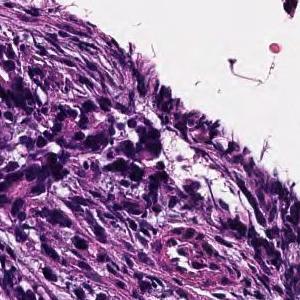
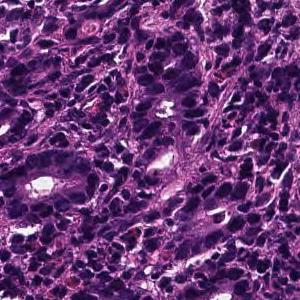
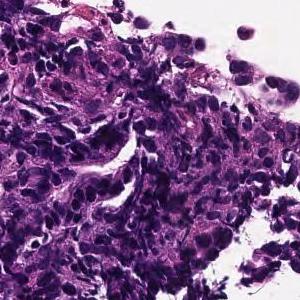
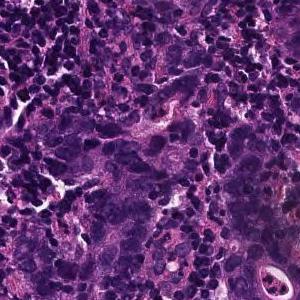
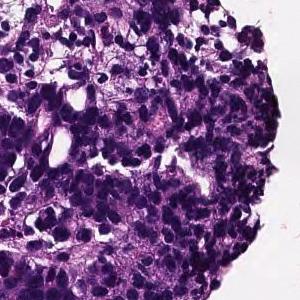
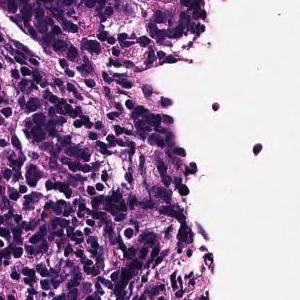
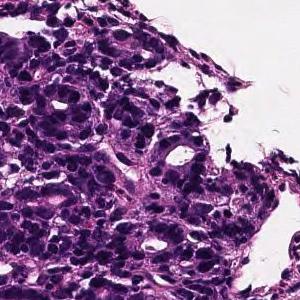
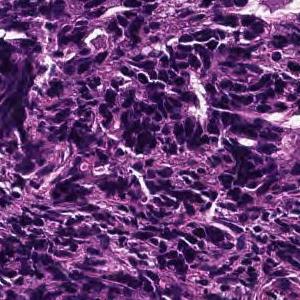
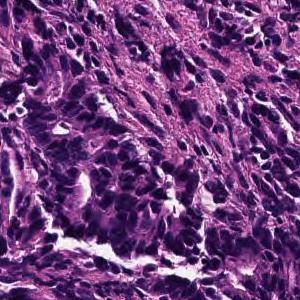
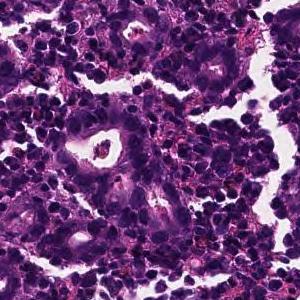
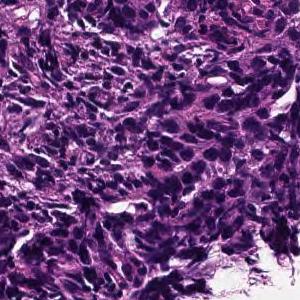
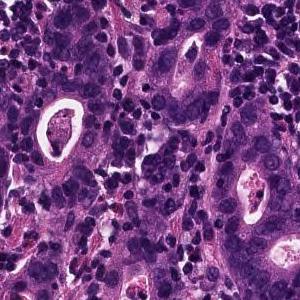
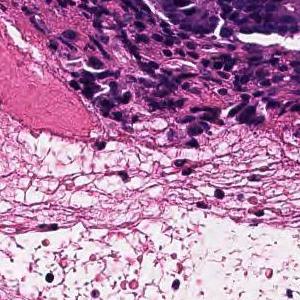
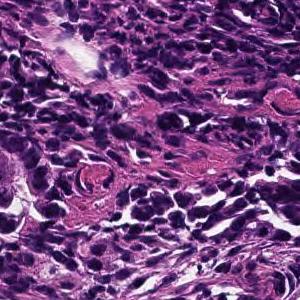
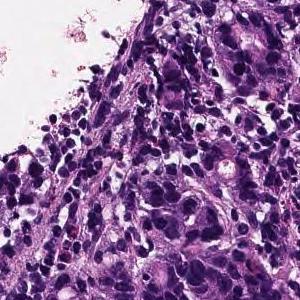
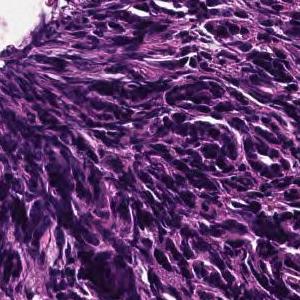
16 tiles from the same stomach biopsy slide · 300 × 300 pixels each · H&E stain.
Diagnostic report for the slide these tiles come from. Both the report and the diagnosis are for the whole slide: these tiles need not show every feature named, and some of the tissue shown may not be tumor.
On the superficial epithelium, tumor tissue is found in which medium-sized irregular gland ducts fuse with each other and infiltrate. moderately differentiated tubular adenocarcinoma or Poorly differentiated adenocarcinoma, non-solid type
Classified as moderately to poorly differentiated adenocarcinoma.
The non-solid type named here is a Japanese Classification of Gastric Carcinoma category.
